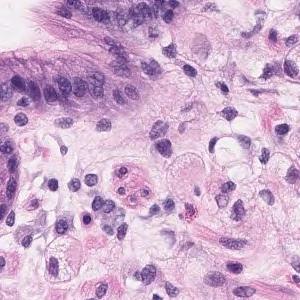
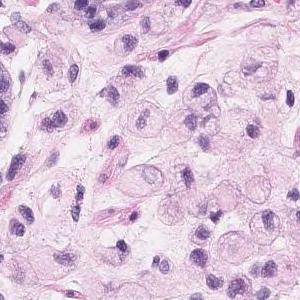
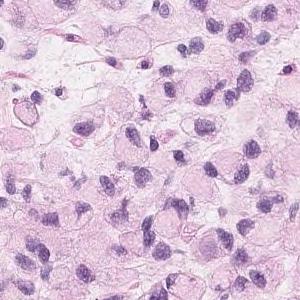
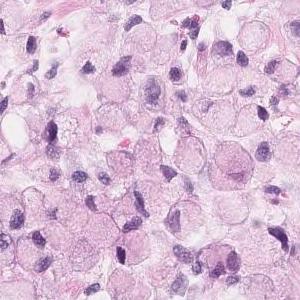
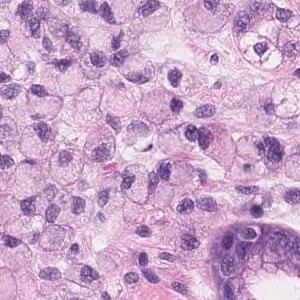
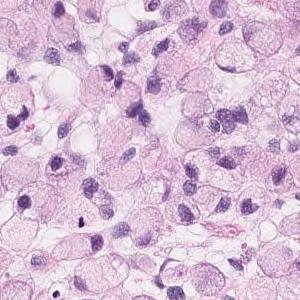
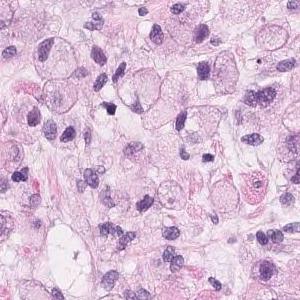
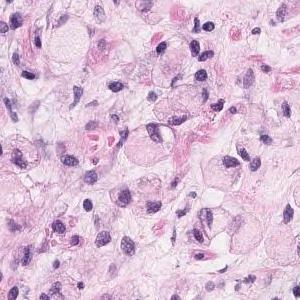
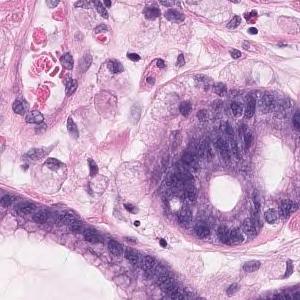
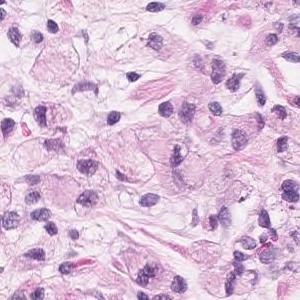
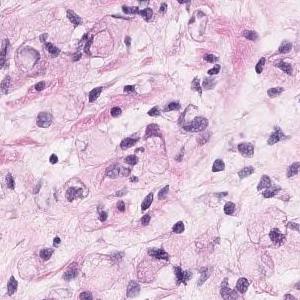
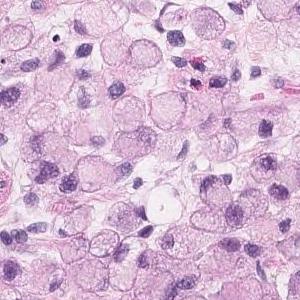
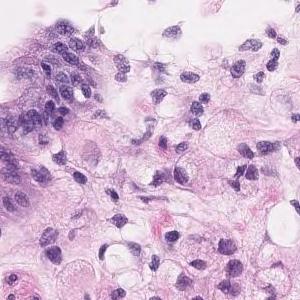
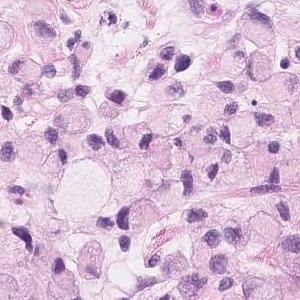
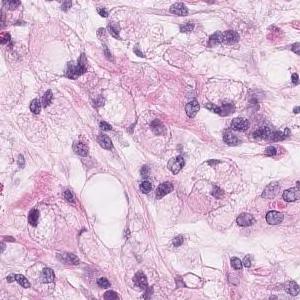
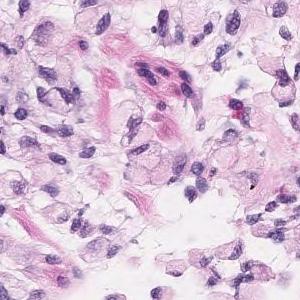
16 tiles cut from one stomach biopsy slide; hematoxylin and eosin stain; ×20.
Pathology report for the slide these tiles were cut from. The findings and the diagnosis refer to the entire slide; these tiles show only part of it, possibly with non-tumor tissue, and may not show every feature named.
In the lamina propria, atypical epithelial cells that store mucus and lack connectivity proliferate diffusely. Adenocarcinoma. Signet ring cell carcinoma.
